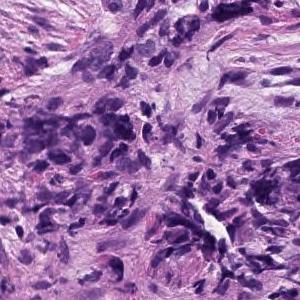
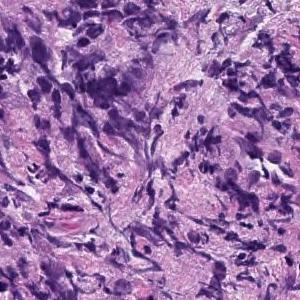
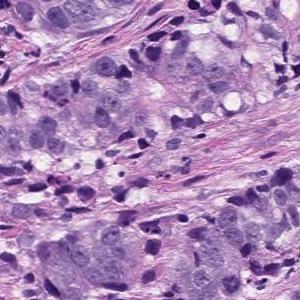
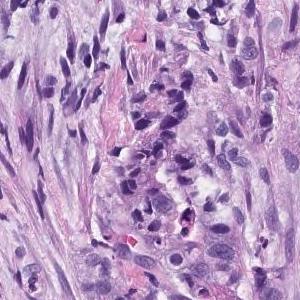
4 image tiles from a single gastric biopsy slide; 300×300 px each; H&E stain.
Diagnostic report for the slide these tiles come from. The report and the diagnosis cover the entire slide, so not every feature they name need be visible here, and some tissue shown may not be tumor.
Medium to small, irregular glandular ducts are formed in the superficial epithelium, and in some cases, the glandular ducts are fused to show solid alveolar lesions and infiltrating tumor tissue is observed. Moderately to poorly differentiated adenocarcinoma.
